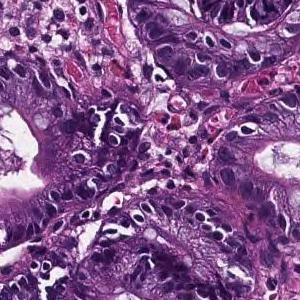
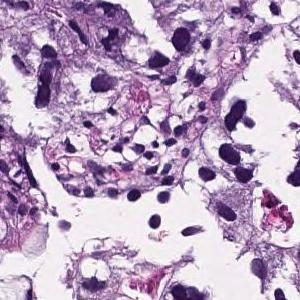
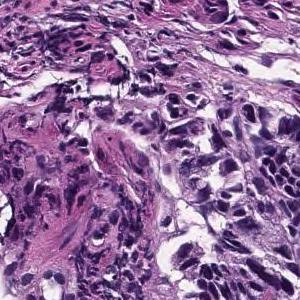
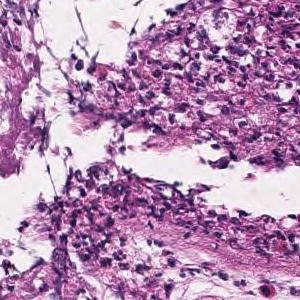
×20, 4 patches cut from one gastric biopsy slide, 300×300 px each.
Diagnostic report for the slide these tiles come from. The report and the diagnosis describe the slide as a whole, so these tiles may not show every feature named and may include non-tumor tissue.
In the superficial epithelium, medium to small irregular gland ducts are formed, and in some cases, the ducts are fused to show solid alveolar lesions and infiltrating tumor tissue is observed. Moderately to poorly differentiated adenocarcinoma
